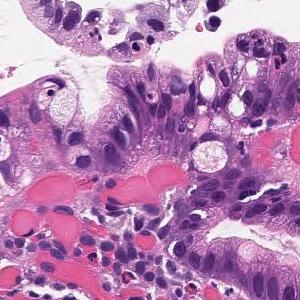
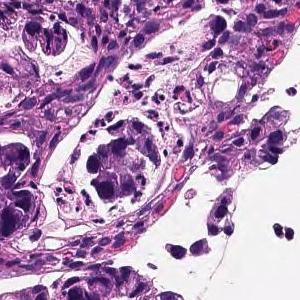
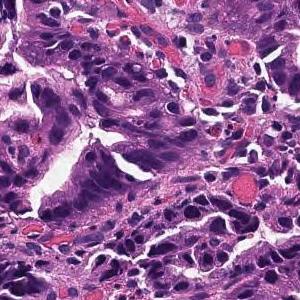
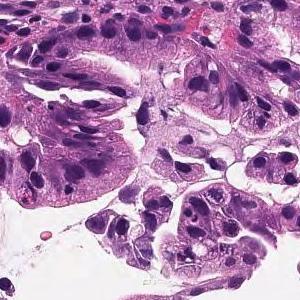
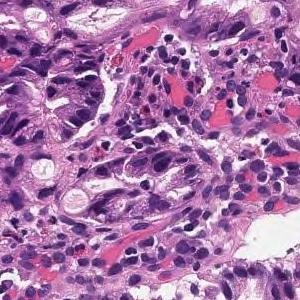
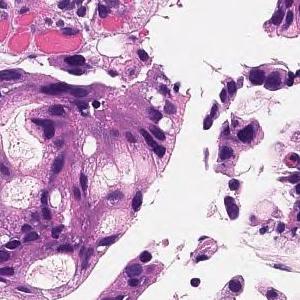
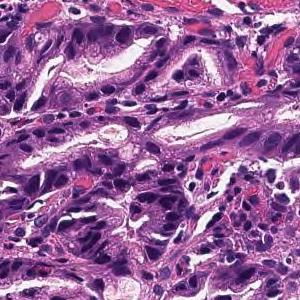
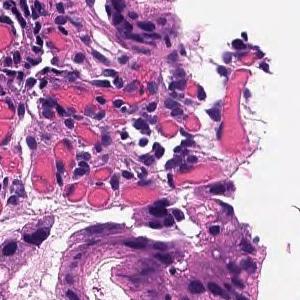
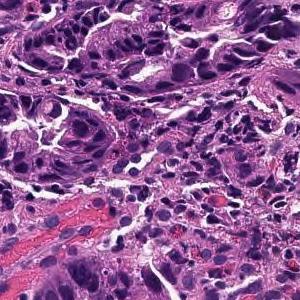
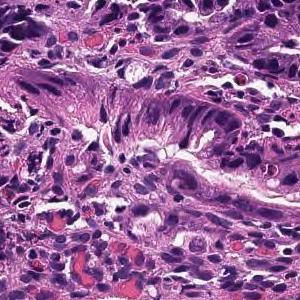
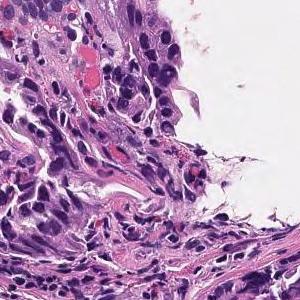
11 tiles from the same stomach biopsy slide · 300 × 300 pixels each.
Diagnostic report for the slide these tiles come from. The findings and the diagnosis refer to the entire slide; these tiles show only part of it, possibly with non-tumor tissue, and may not show every feature named.
In the superficial epithelium, tumor tissue that invades by forming medium-sized to small, irregular ducts is observed. moderately differentiated tubular adenocarcinoma.
